H&E stain; 6 tiles cut from one stomach biopsy slide.
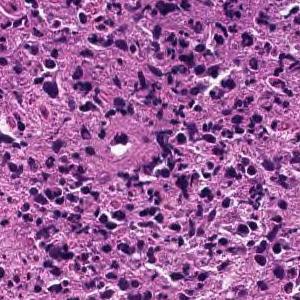
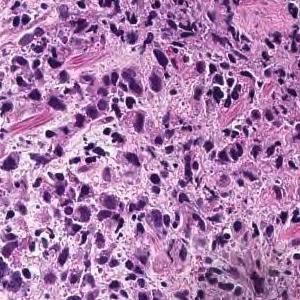
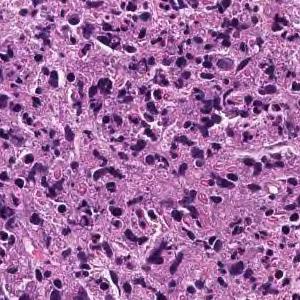
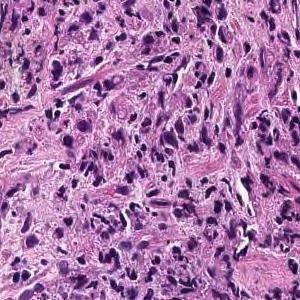
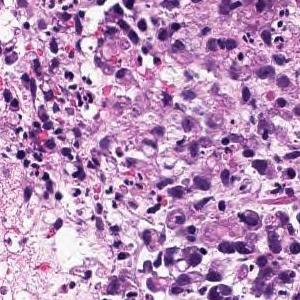
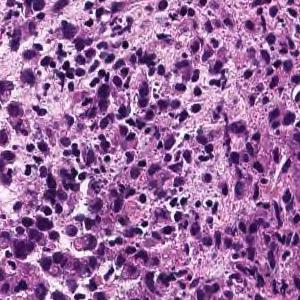
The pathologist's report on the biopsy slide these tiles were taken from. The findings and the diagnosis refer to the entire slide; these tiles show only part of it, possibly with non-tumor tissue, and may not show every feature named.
Large sheet-like or diffusely infiltrating tumor tissue is found in the superficial epithelium. Poorly differentiated adenocarcinoma, solid-type
Classified as poorly differentiated adenocarcinoma, solid type, a category of the Japanese Classification of Gastric Carcinoma; in the WHO 2019 classification it is tubular adenocarcinoma, poorly differentiated.
